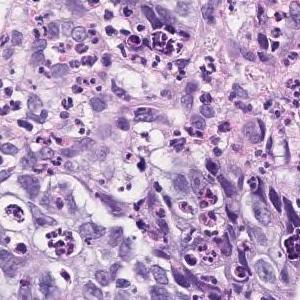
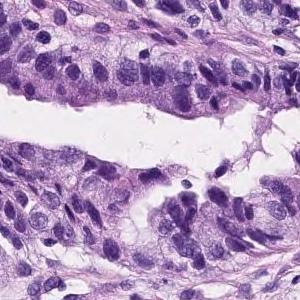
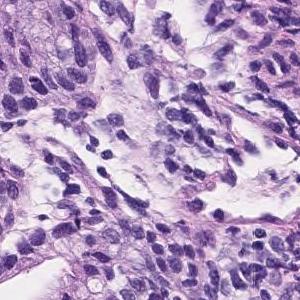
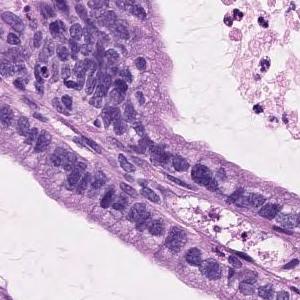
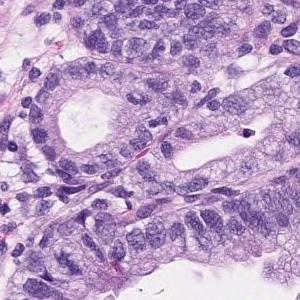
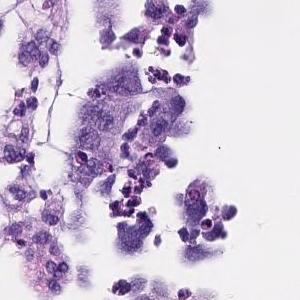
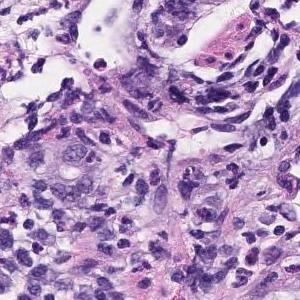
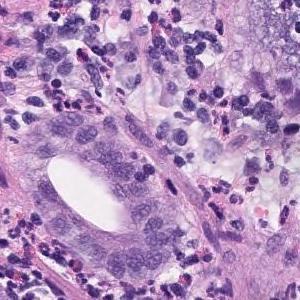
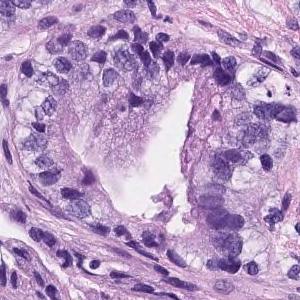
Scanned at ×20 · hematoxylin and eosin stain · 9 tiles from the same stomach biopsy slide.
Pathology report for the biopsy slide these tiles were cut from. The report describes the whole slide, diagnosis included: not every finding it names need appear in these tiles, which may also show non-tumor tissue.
Tumor cells are large, highly columnar, large club-shaped nuclei, and are associated with chromatin aggregation. Papillary adenocarcinoma.
